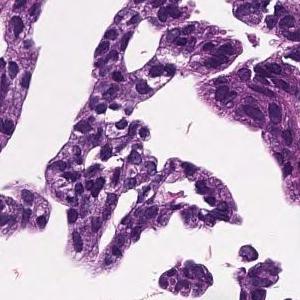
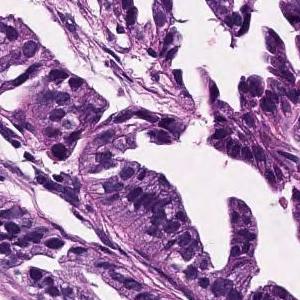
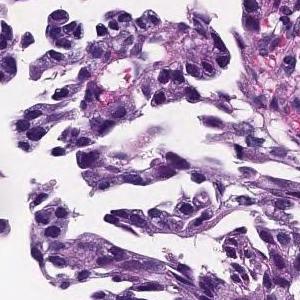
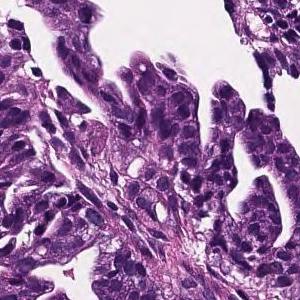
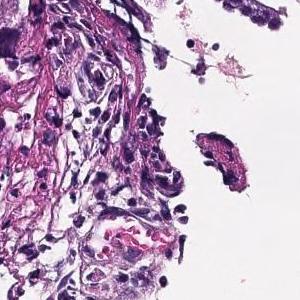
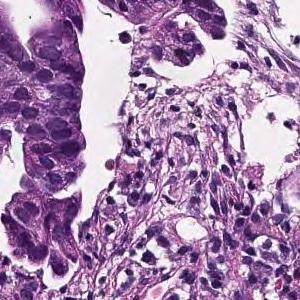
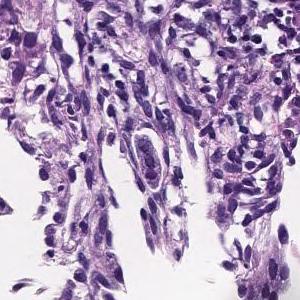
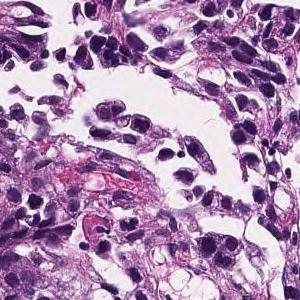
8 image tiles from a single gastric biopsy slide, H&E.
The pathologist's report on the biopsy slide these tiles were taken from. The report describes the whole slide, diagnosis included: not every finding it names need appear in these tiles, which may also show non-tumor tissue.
In the lamina propria, tumor tissue that invades by forming medium-sized to small, irregular glandular ducts is observed. moderately differentiated tubular adenocarcinoma
